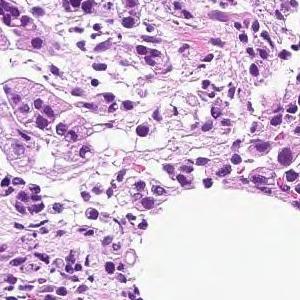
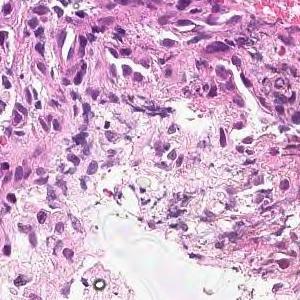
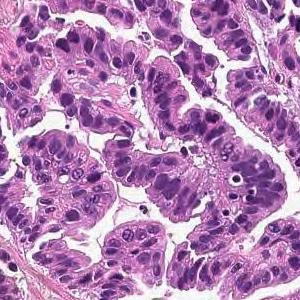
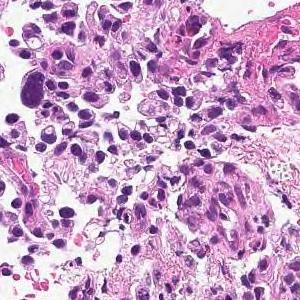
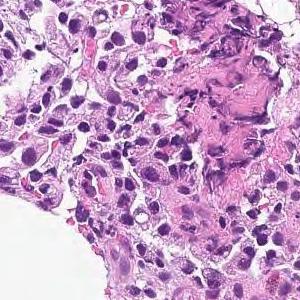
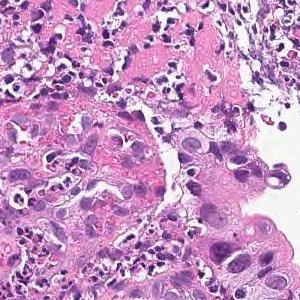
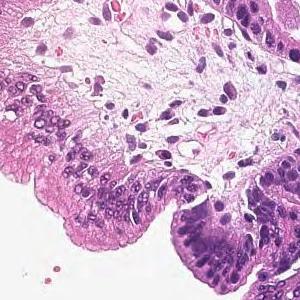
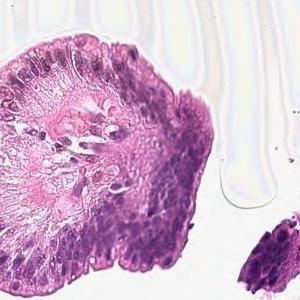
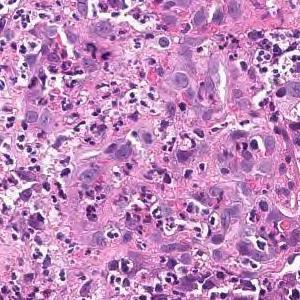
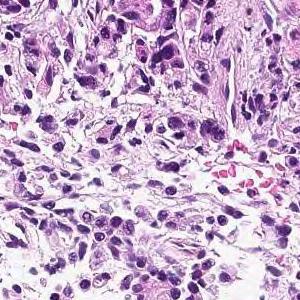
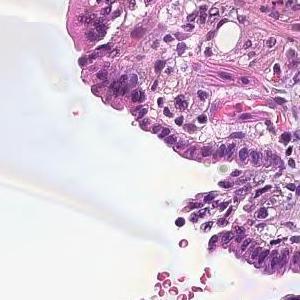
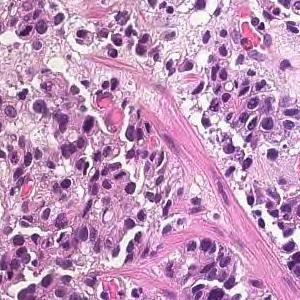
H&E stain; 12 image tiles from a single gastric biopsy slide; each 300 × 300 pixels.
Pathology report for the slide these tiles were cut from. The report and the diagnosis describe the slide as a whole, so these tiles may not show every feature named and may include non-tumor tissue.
Tumor tissue consisting of medium-sized, cord-like or irregular glandular infiltration is observed in the superficial epithelium. Poorly differentiated adenocarcinoma, non-solid type or moderately differentiated tubular adenocarcinoma
Histological subtype: Moderately to poorly differentiated adenocarcinoma.
The term "non-solid type" comes from the Japanese Classification of Gastric Carcinoma.
